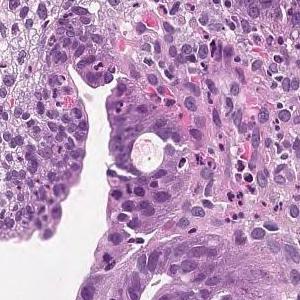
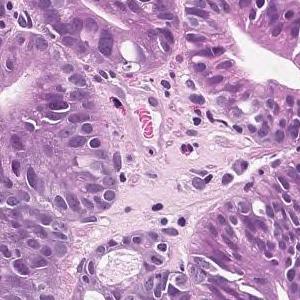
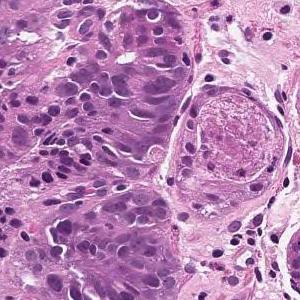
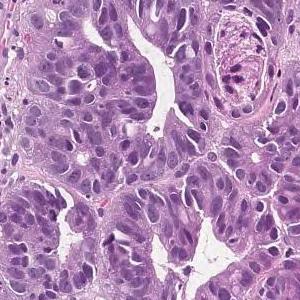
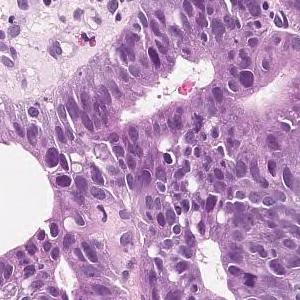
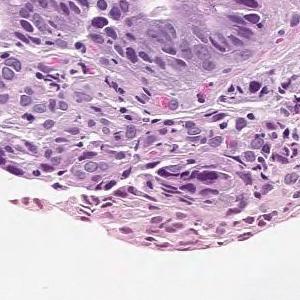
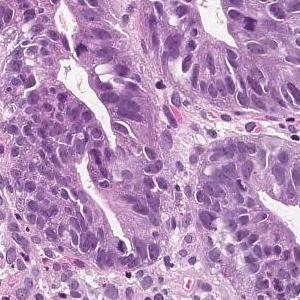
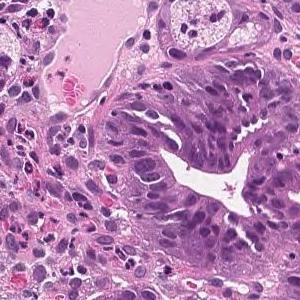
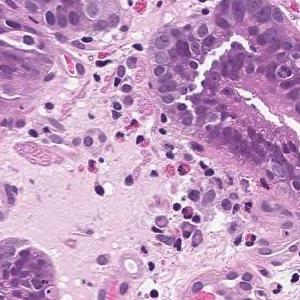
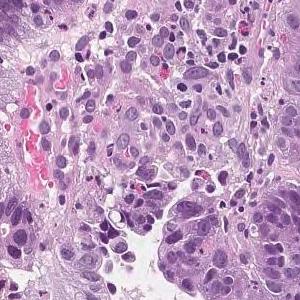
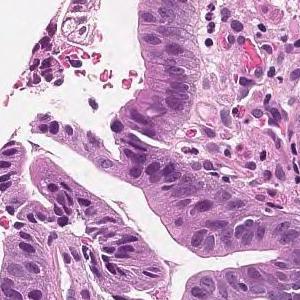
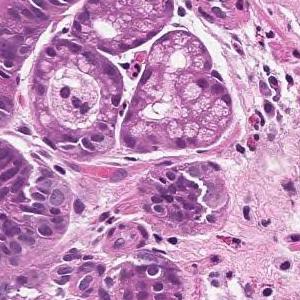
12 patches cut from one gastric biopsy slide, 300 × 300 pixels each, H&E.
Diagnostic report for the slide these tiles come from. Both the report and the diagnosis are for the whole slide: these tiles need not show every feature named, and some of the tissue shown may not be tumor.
From the superficial epithelium to the muscularis mucosae, tumor tissue consisting of medium-sized and irregular glandular ducts infiltrating is observed. Well differentiated tubular adenocarcinoma
